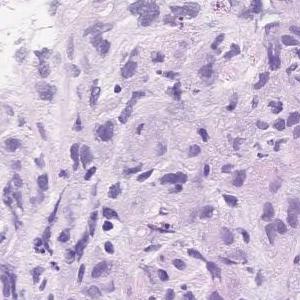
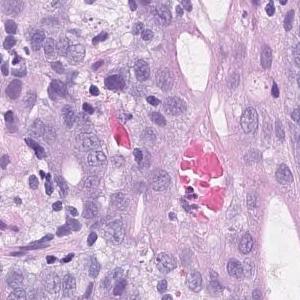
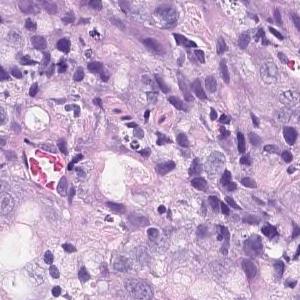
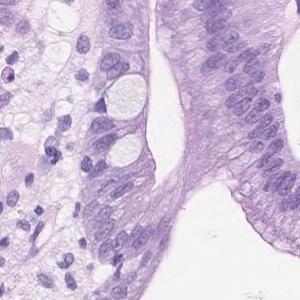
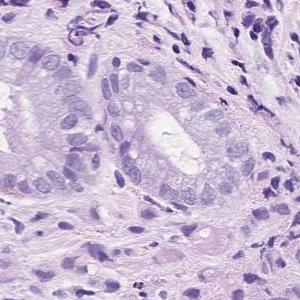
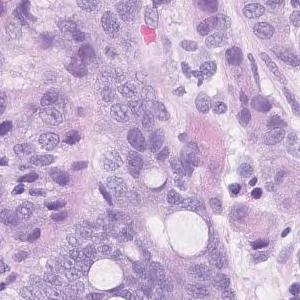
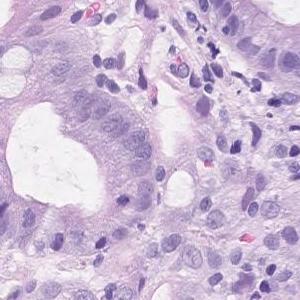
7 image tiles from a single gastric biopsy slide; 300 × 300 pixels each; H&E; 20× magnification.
The pathologist's report on the biopsy slide these tiles were taken from. The report and the diagnosis describe the slide as a whole, so these tiles may not show every feature named and may include non-tumor tissue.
Group 5, Adenocarcinoma. Poorly differentiated adenocarcinoma, non-solid type
The term "non-solid type" comes from the Japanese Classification of Gastric Carcinoma.
